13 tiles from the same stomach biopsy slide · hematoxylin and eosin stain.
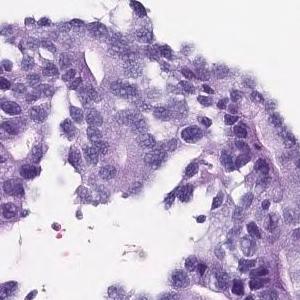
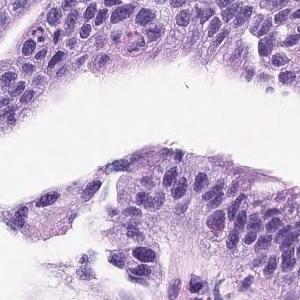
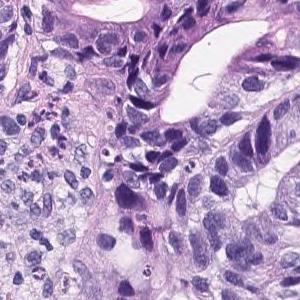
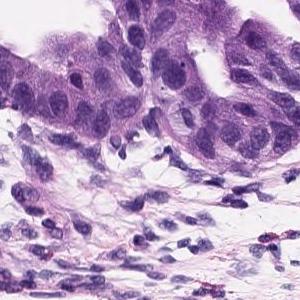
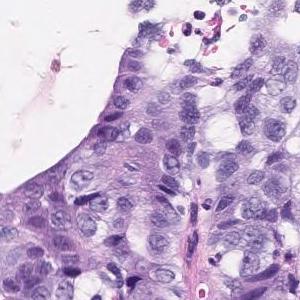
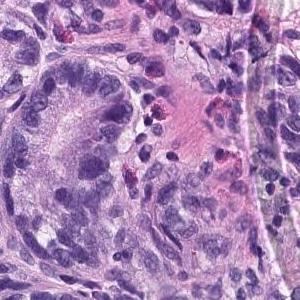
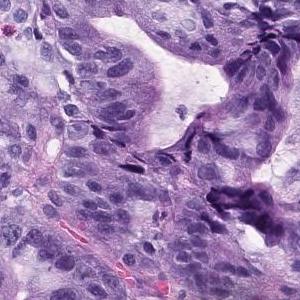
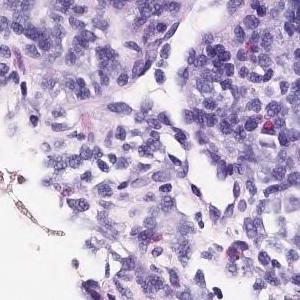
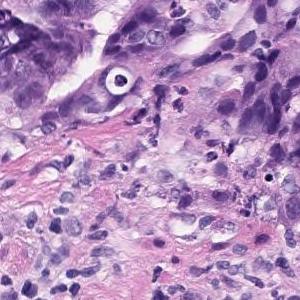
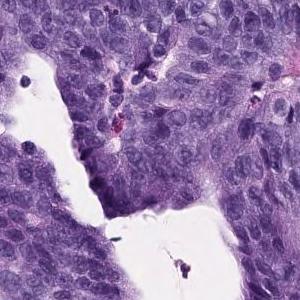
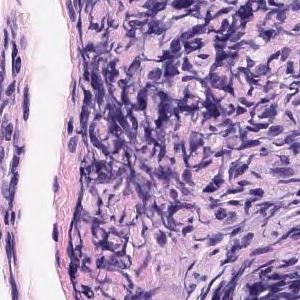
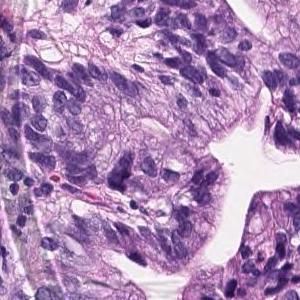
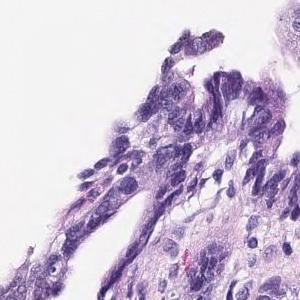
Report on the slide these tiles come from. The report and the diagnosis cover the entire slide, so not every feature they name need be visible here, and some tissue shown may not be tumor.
In the superficial epithelium, tumor tissue that invades by forming medium-sized to small, irregular ducts is observed. Well to moderately differentiated tubular adenocarcinoma.
